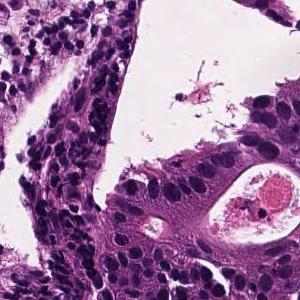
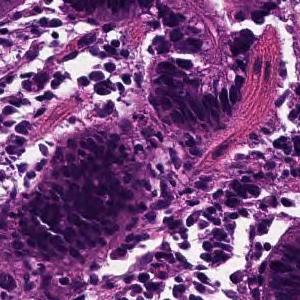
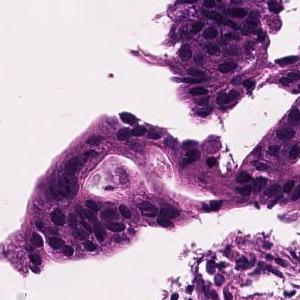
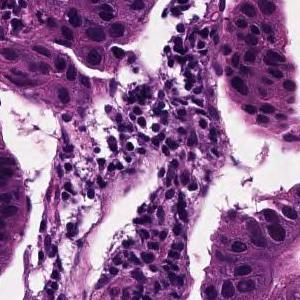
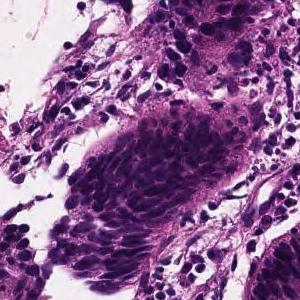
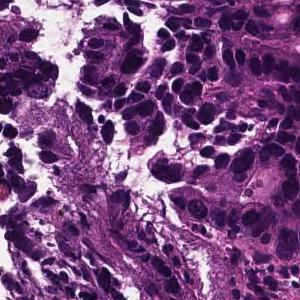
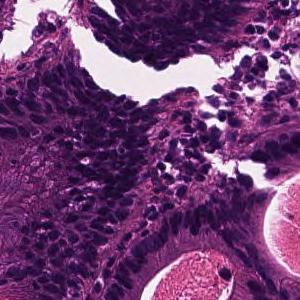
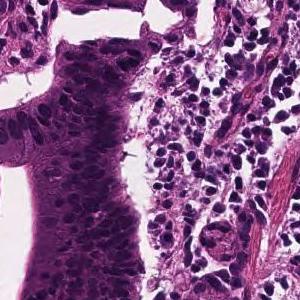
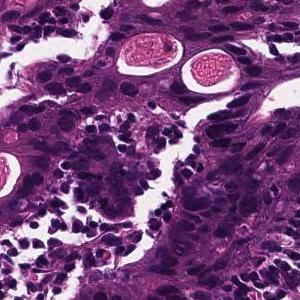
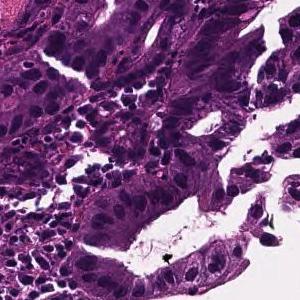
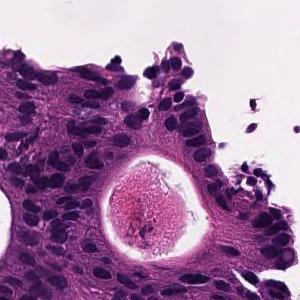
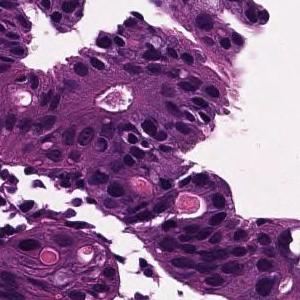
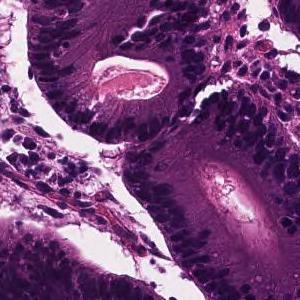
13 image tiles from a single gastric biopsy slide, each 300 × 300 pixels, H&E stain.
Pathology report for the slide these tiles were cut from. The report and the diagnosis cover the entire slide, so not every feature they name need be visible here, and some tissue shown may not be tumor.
In the superficial epithelium, tumor tissue that invades by forming medium-sized to small, irregular ducts is observed. moderately differentiated tubular adenocarcinoma.
